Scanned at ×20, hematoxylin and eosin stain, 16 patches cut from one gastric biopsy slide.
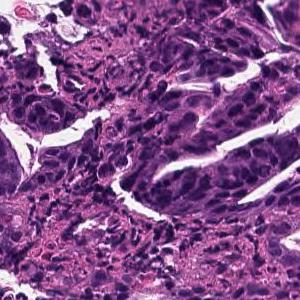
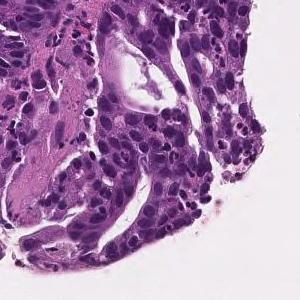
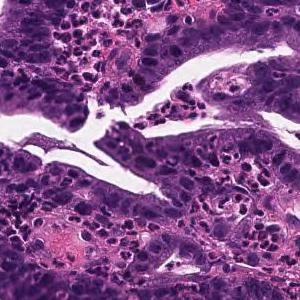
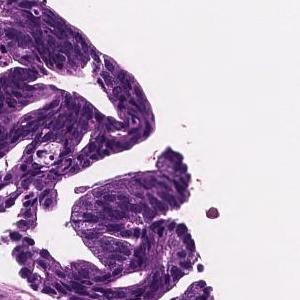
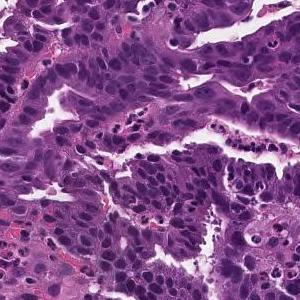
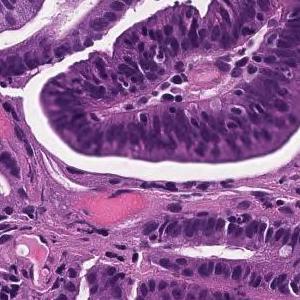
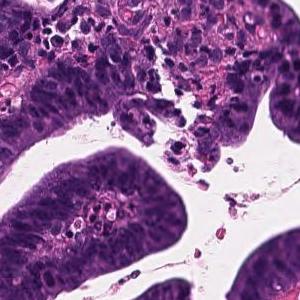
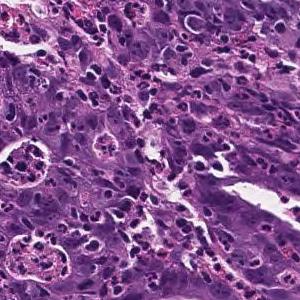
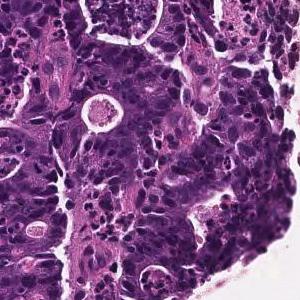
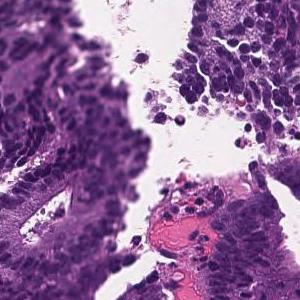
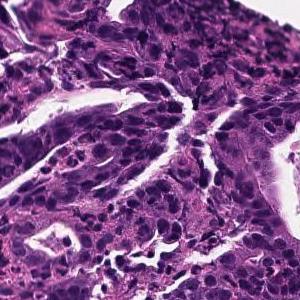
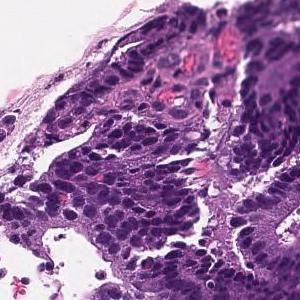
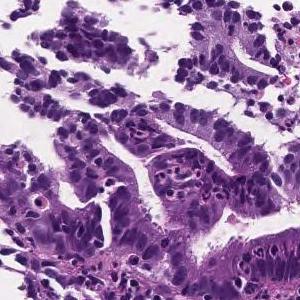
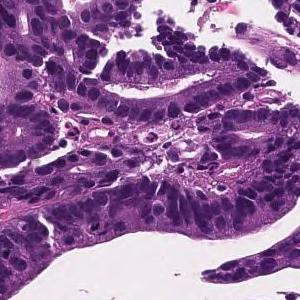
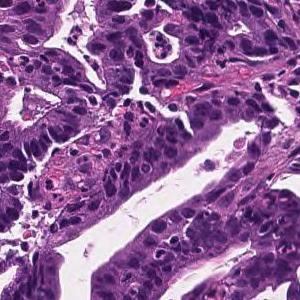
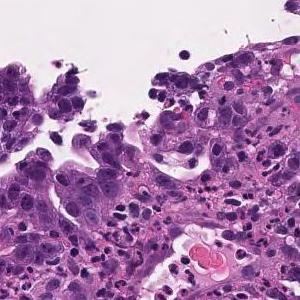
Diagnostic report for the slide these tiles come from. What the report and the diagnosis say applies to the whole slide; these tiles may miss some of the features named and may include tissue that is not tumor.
Tumor cells are large, highly columnar, large club-shaped nuclei, and are associated with chromatin aggregation. Papillary adenocarcinoma.
